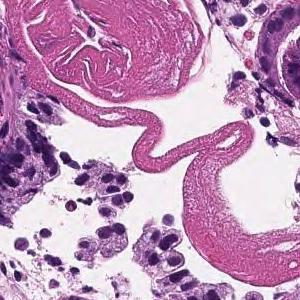
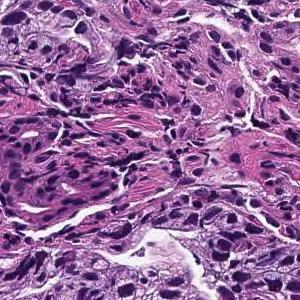
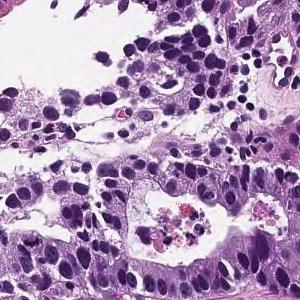
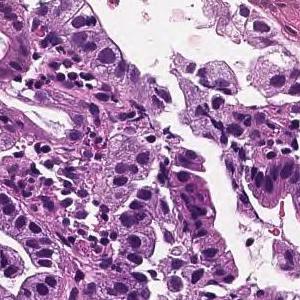
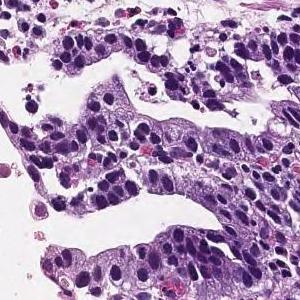
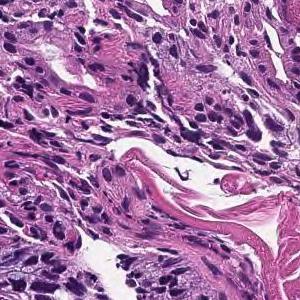
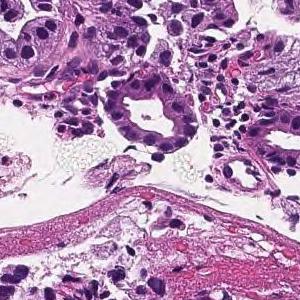
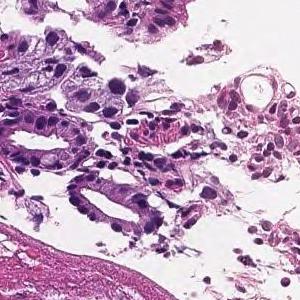
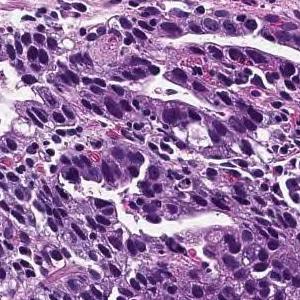
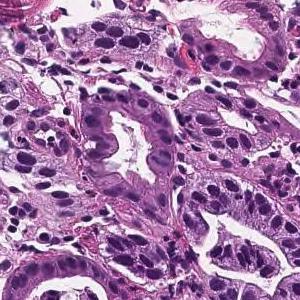
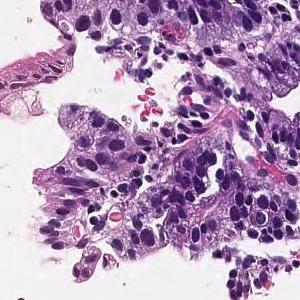
11 patches cut from one gastric biopsy slide; hematoxylin and eosin stain; scanned at ×20.
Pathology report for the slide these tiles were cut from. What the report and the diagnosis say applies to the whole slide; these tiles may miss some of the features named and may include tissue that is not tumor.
In the superficial epithelium, tumor tissue that invades by forming medium-sized to small, irregular ducts is observed. moderately differentiated tubular adenocarcinoma.
